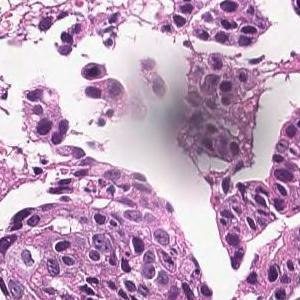
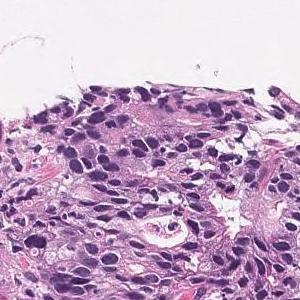
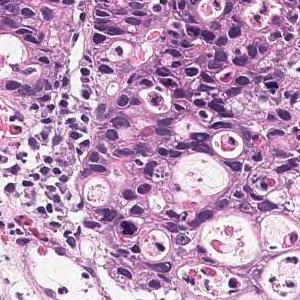
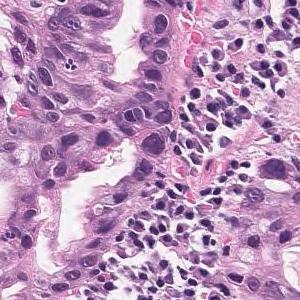
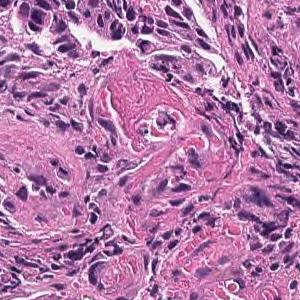
Hematoxylin and eosin stain; 5 image tiles from a single gastric biopsy slide; 300 × 300 pixels each.
Pathology report for the slide these tiles were cut from. The findings and the diagnosis refer to the entire slide; these tiles show only part of it, possibly with non-tumor tissue, and may not show every feature named.
Tumor cells are large, highly columnar, large club-shaped nuclei, and are associated with chromatin aggregation. Papillary adenocarcinoma.
